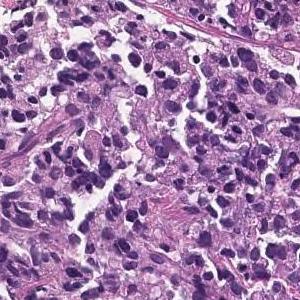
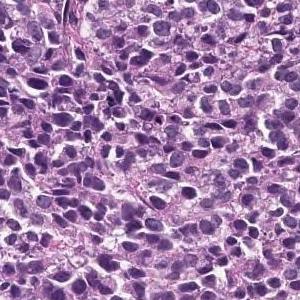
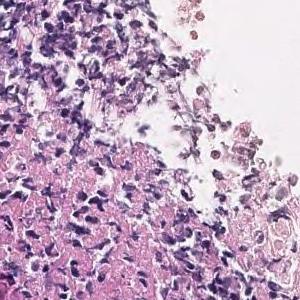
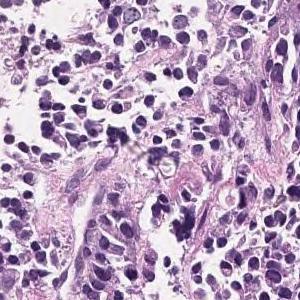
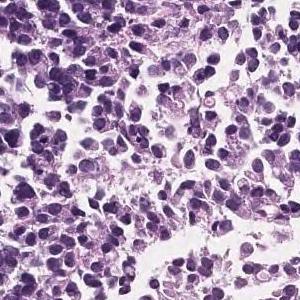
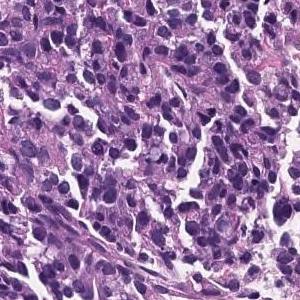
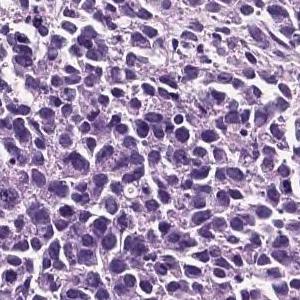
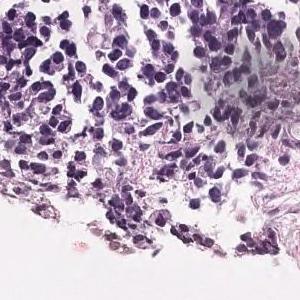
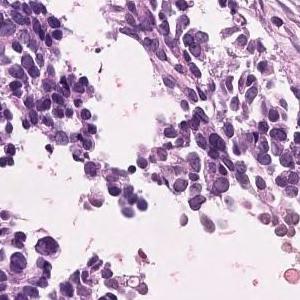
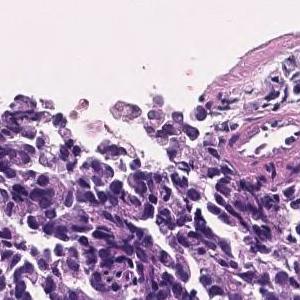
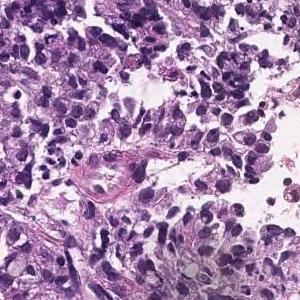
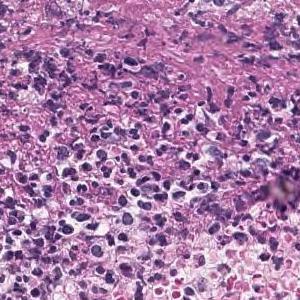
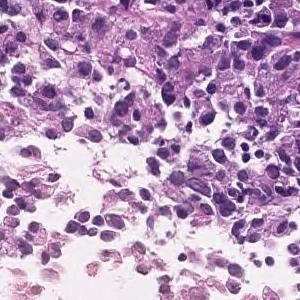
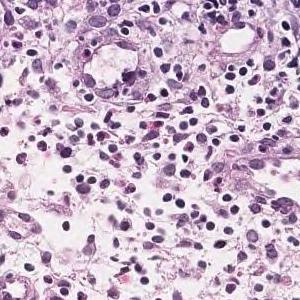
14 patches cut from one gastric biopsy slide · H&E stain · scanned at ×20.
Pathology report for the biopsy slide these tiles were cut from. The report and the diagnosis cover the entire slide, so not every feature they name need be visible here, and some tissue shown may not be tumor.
The superficial epithelium shows a large sheet-like shape, and some tumor tissue infiltrates with small irregular ducts. Poorly differentiated adenocarcinoma, solid-type
Histological subtype: Poorly differentiated adenocarcinoma, solid type (Japanese Classification of Gastric Carcinoma). The WHO 2019 equivalent is tubular adenocarcinoma, poorly differentiated.
